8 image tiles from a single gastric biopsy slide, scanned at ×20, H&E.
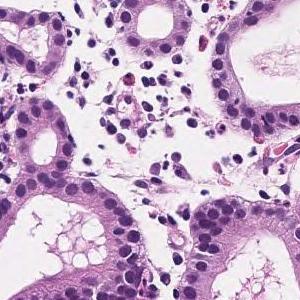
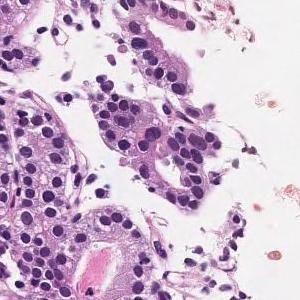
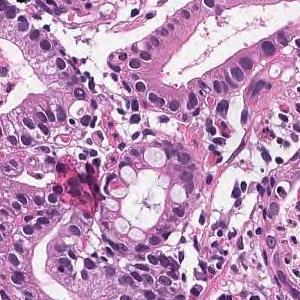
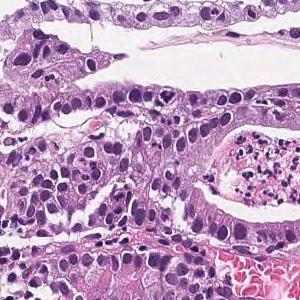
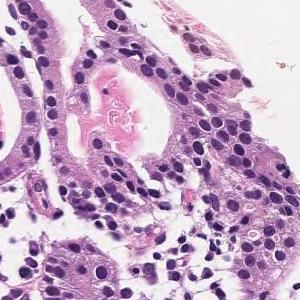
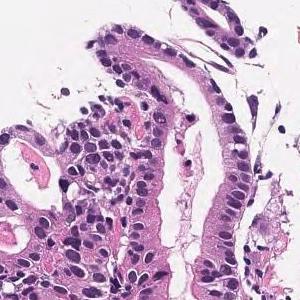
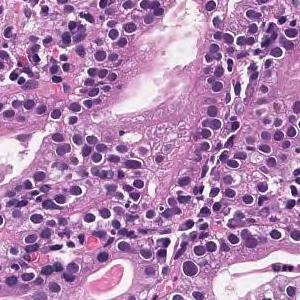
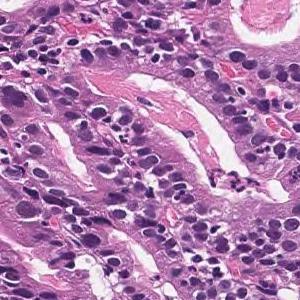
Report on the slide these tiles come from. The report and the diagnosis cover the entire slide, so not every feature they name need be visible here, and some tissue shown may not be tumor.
Medium to small, irregular glandular ducts are formed in the superficial epithelium, and in some cases, the glandular ducts are fused to show solid alveolar lesions and infiltrating tumor tissue is observed. Moderately to poorly differentiated adenocarcinoma.
